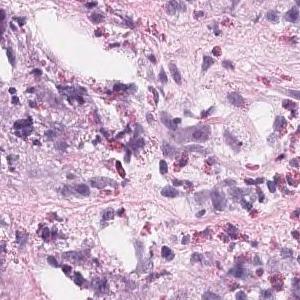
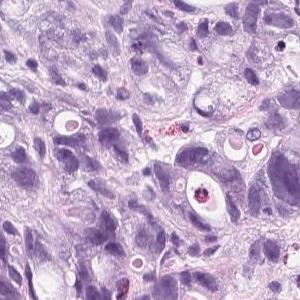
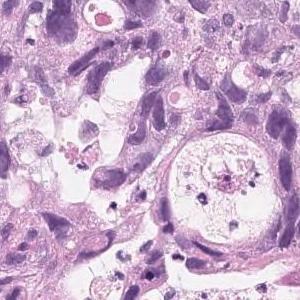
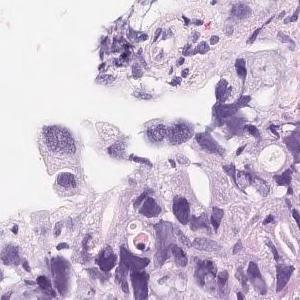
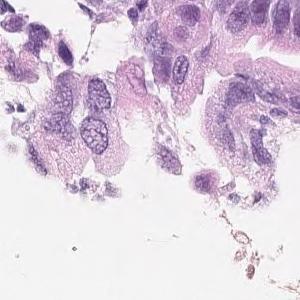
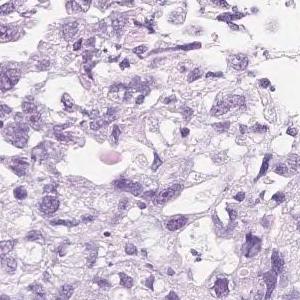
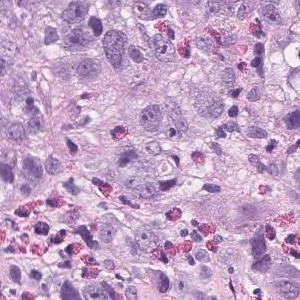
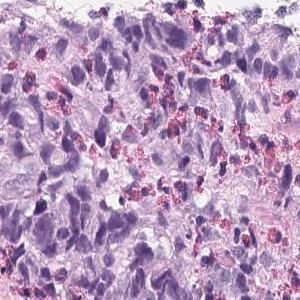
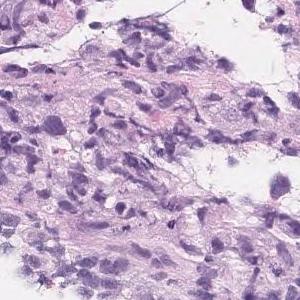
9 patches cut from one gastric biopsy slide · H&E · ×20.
Report on the slide these tiles come from. Both the report and the diagnosis are for the whole slide: these tiles need not show every feature named, and some of the tissue shown may not be tumor.
Tumor tissue that infiltrates and proliferates by forming small glandular cavities in the superficial layer to the submucosa or forming a mass is observed. moderately differentiated tubular adenocarcinoma
